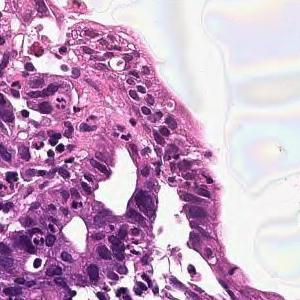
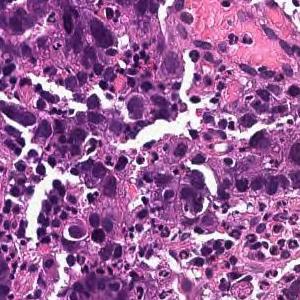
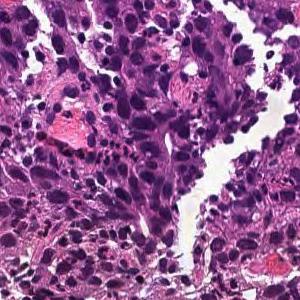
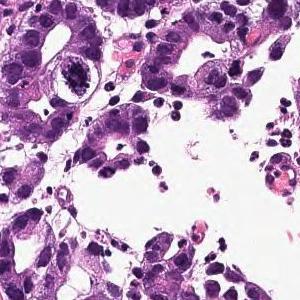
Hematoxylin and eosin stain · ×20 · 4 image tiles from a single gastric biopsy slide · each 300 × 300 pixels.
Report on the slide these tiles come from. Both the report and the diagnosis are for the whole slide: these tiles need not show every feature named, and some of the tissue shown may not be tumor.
On the superficial epithelium, a tumor tissue consisting of a large, irregular glandular duct partially fused and infiltrating with a small alveolar shape is observed. Well or moderately differentiated tubular adenocarcinoma (well differentiated tubular adenocarcinoma, moderately differentiated tubular adenocarcinoma)
Histologic type: Well to moderately differentiated tubular adenocarcinoma.
